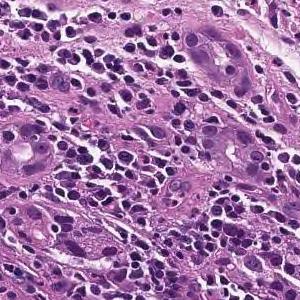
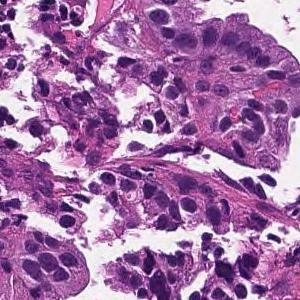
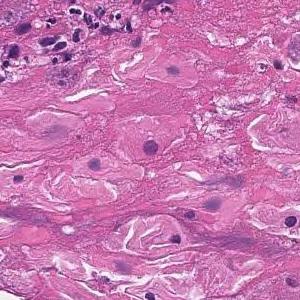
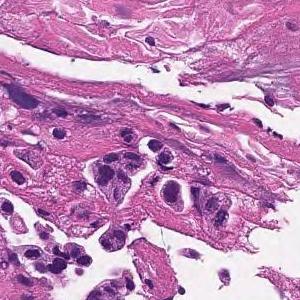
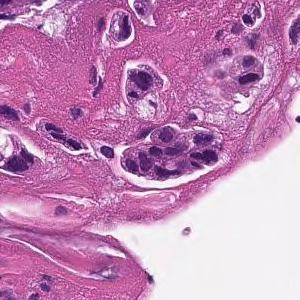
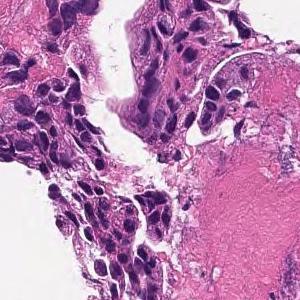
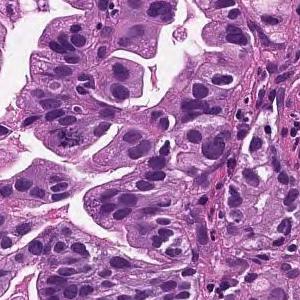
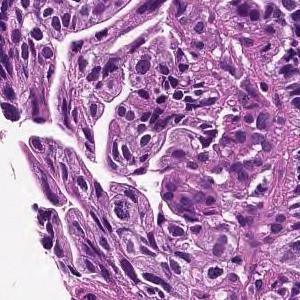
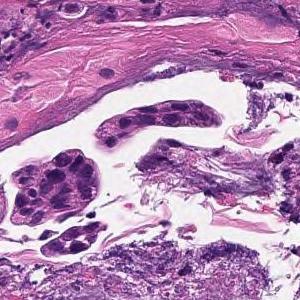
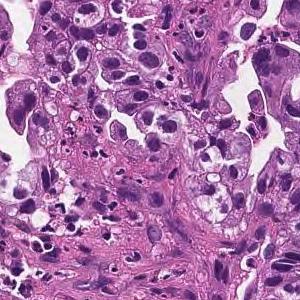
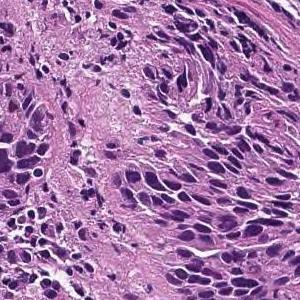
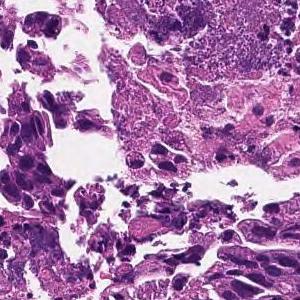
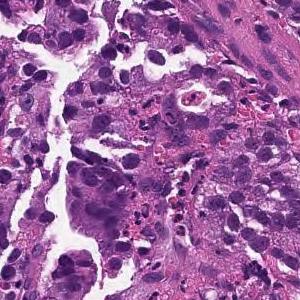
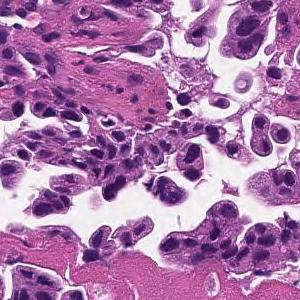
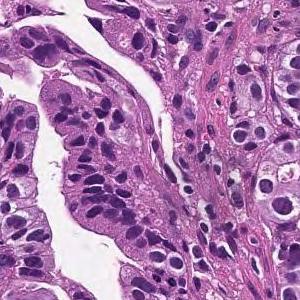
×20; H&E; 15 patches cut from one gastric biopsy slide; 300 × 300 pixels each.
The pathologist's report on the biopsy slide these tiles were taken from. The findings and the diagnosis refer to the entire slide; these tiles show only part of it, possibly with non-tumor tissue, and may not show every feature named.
Medium to small, irregular glandular ducts are formed in the superficial epithelium, and in some cases, the glandular ducts are fused to show solid alveolar lesions and infiltrating tumor tissue is observed. Moderately to poorly differentiated adenocarcinoma.
